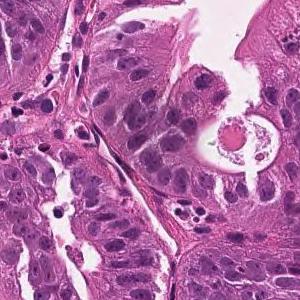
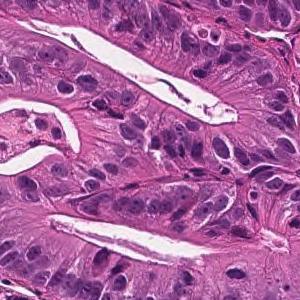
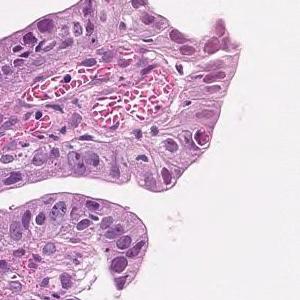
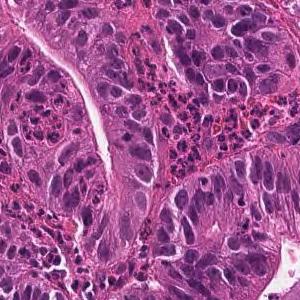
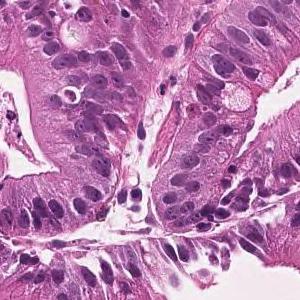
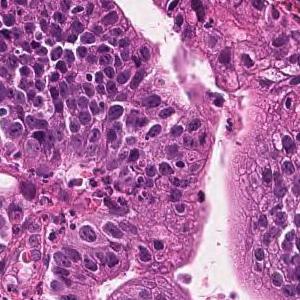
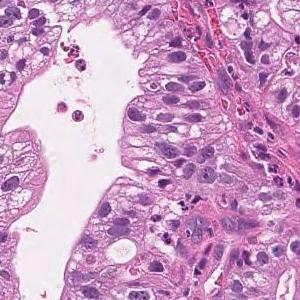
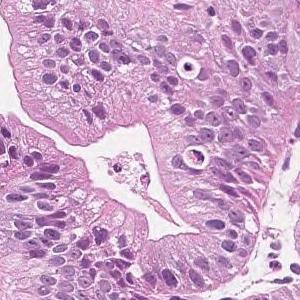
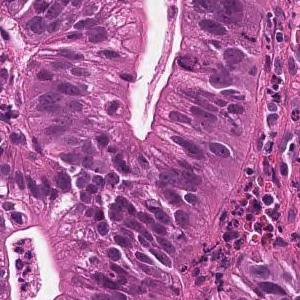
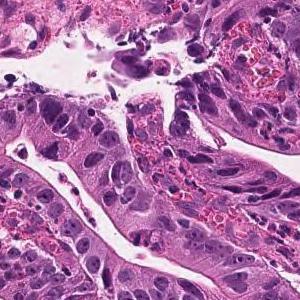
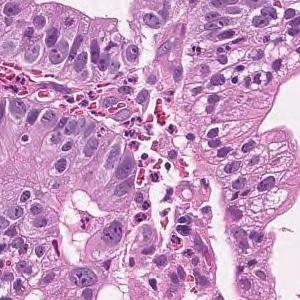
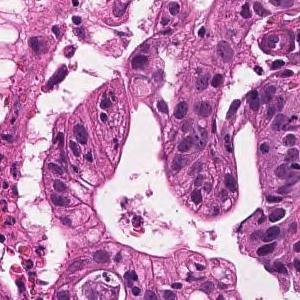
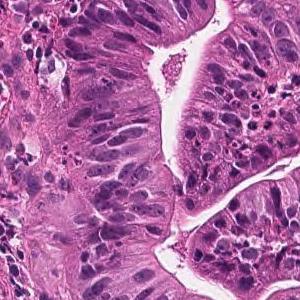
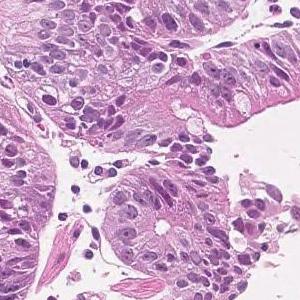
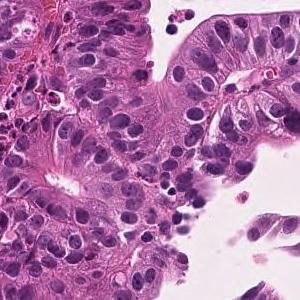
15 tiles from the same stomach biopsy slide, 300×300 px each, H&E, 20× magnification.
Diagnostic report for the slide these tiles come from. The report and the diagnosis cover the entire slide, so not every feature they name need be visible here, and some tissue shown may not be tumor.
Tumor cells are large, highly columnar, large club-shaped nuclei, and are associated with chromatin aggregation. Papillary adenocarcinoma.
